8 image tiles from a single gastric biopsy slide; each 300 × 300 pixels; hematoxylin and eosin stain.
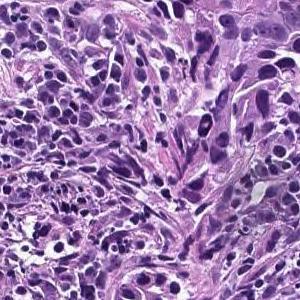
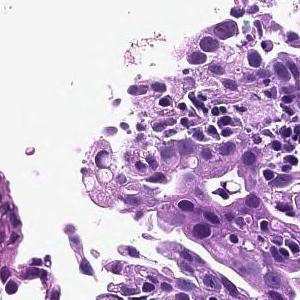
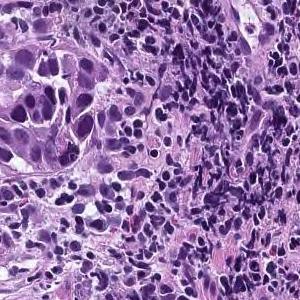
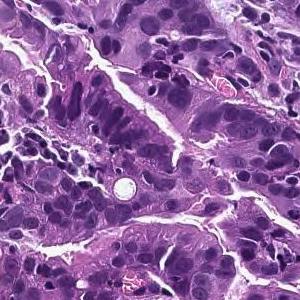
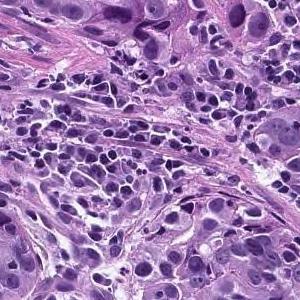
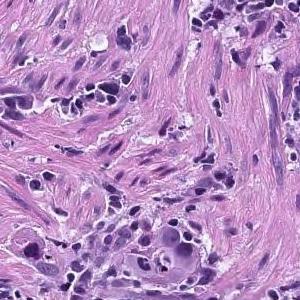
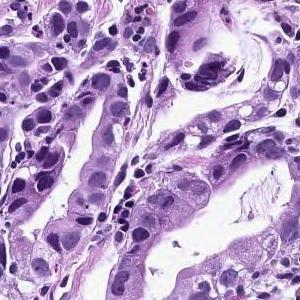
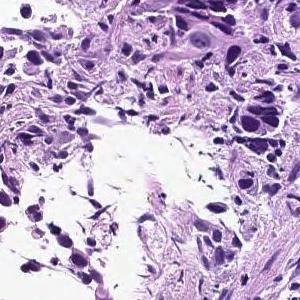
Diagnostic report for the slide these tiles come from. The report describes the whole slide, diagnosis included: not every finding it names need appear in these tiles, which may also show non-tumor tissue.
In the superficial epithelium, tumor tissue that invades by forming medium-sized to small, irregular ducts is observed. moderately differentiated tubular adenocarcinoma.
